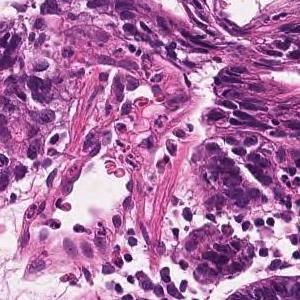
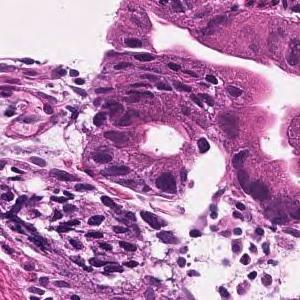
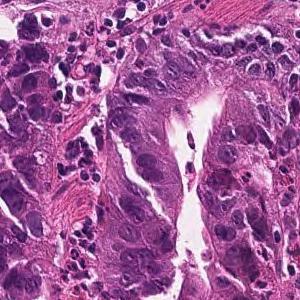
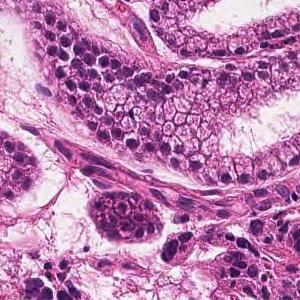
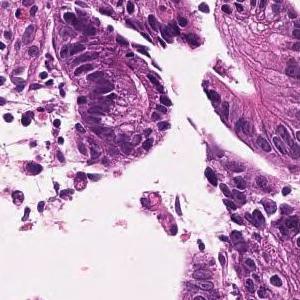
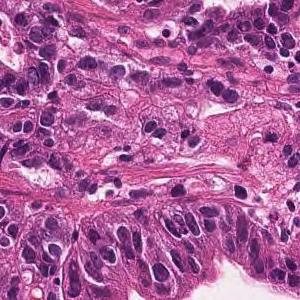
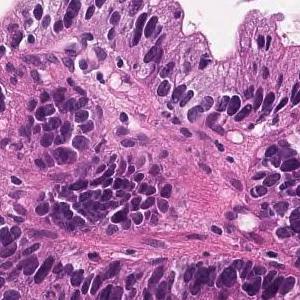
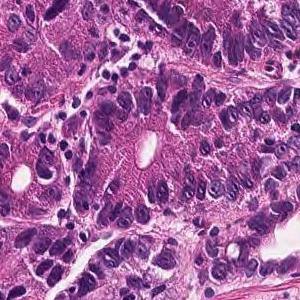
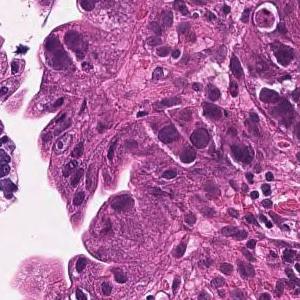
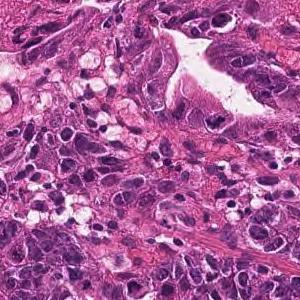
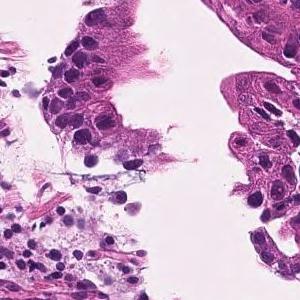
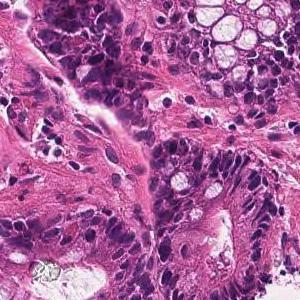
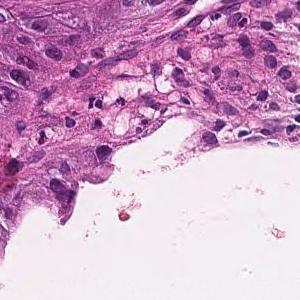
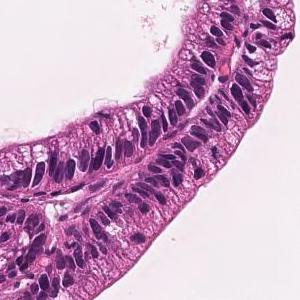
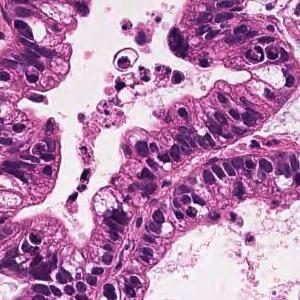
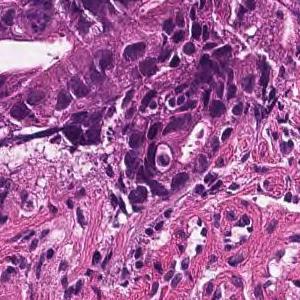
16 tiles from the same stomach biopsy slide, each 300 × 300 pixels, hematoxylin and eosin stain.
Pathology report for the slide these tiles were cut from. Both the report and the diagnosis are for the whole slide: these tiles need not show every feature named, and some of the tissue shown may not be tumor.
In the superficial epithelium, tumor tissue that invades by forming medium-sized to small, irregular ducts is observed. moderately differentiated tubular adenocarcinoma.
